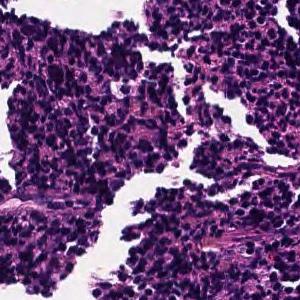
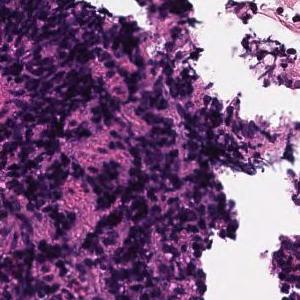
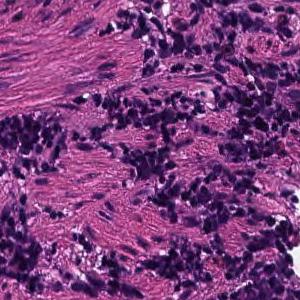
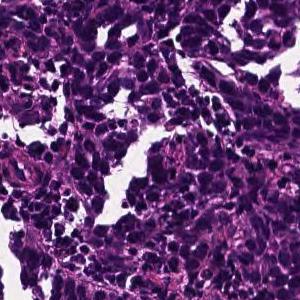
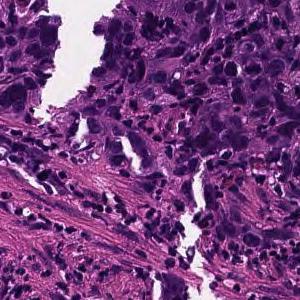
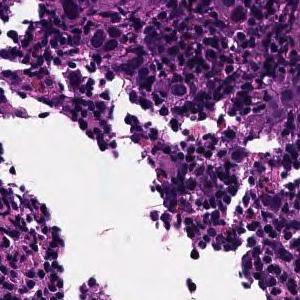
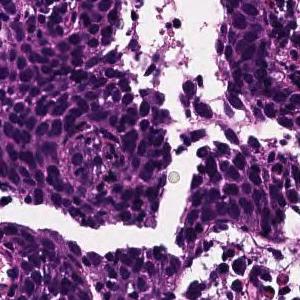
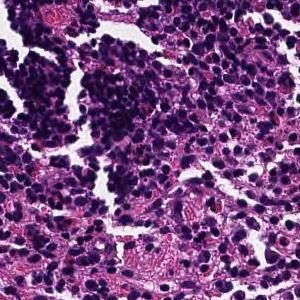
20× magnification; 8 image tiles from a single gastric biopsy slide; each 300 × 300 pixels.
Diagnostic report for the slide these tiles come from. The report and the diagnosis describe the slide as a whole, so these tiles may not show every feature named and may include non-tumor tissue.
Tumor tissue consisting of cord-like or small, irregular glandular ducts fused and infiltrated is observed in the superficial epithelium. Poorly differentiated adenocarcinoma, non-solid type
"Non-solid type" is a category of the Japanese Classification of Gastric Carcinoma.
